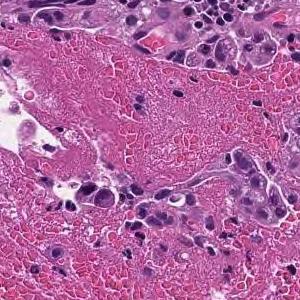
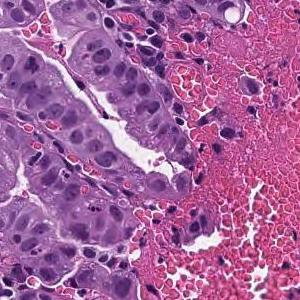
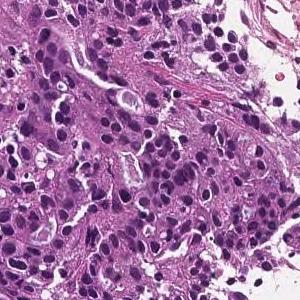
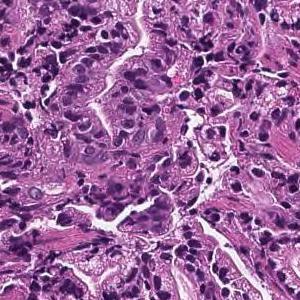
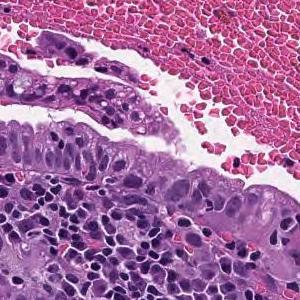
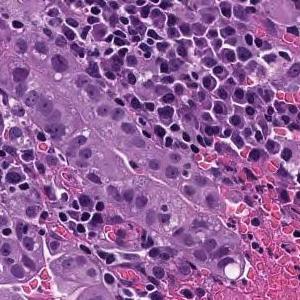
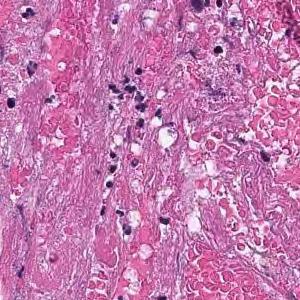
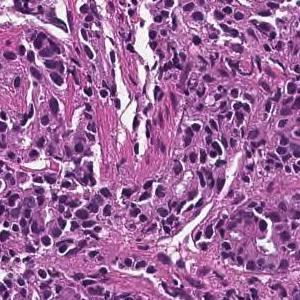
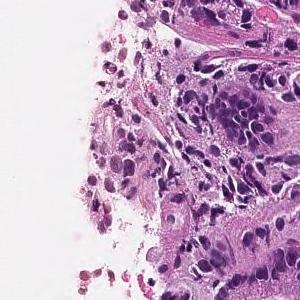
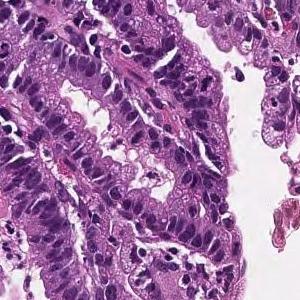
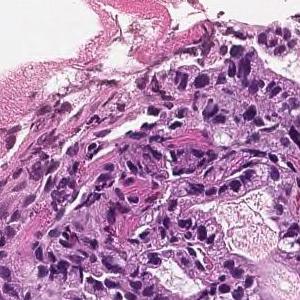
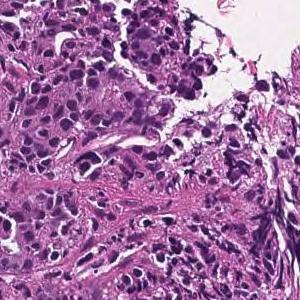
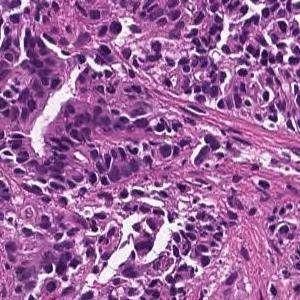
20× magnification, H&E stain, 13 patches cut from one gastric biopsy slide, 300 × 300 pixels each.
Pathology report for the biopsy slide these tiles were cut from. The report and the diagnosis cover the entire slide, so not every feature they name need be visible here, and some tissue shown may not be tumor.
On the superficial epithelium, tumor tissue that infiltrates by forming medium-sized papillary or small irregular ducts is observed. Papillary adenocarcinoma
